H&E; ×20; 14 tiles from the same stomach biopsy slide; 300×300 px each.
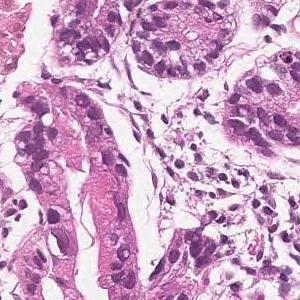
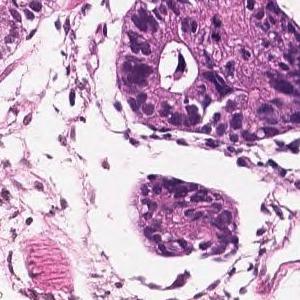
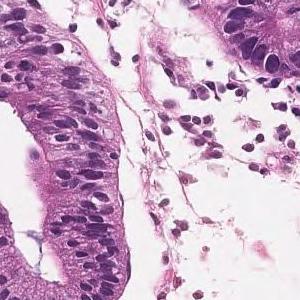
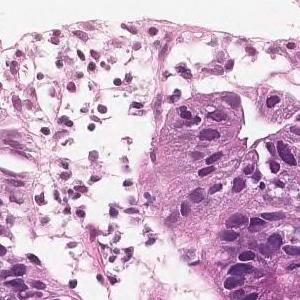
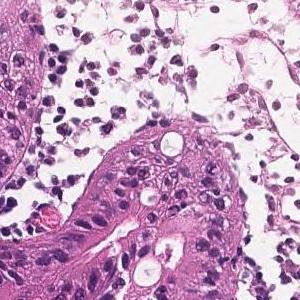
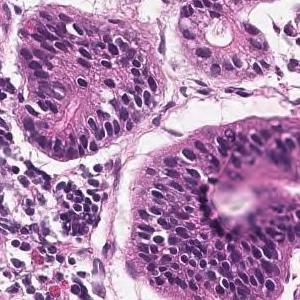
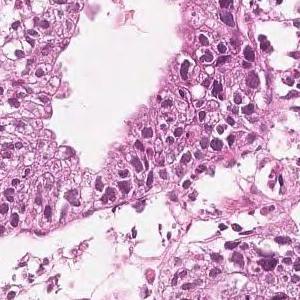
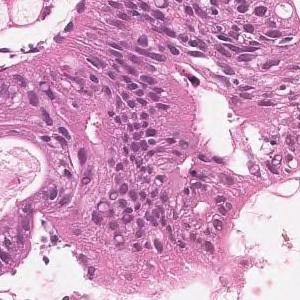
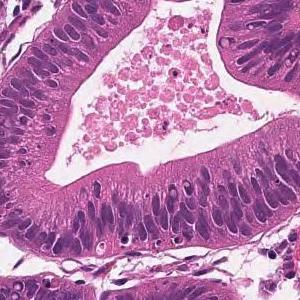
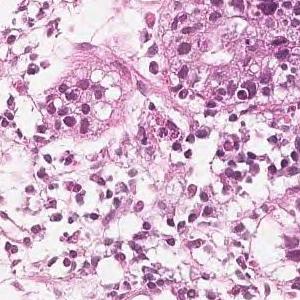
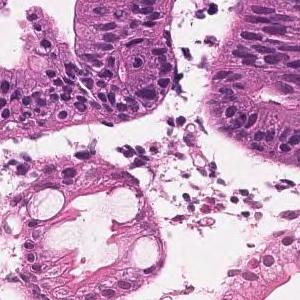
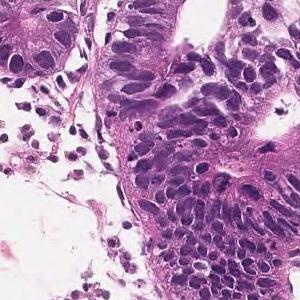
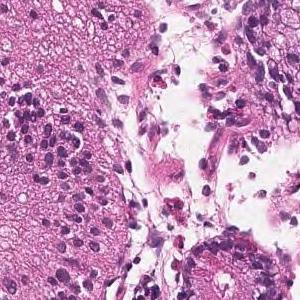
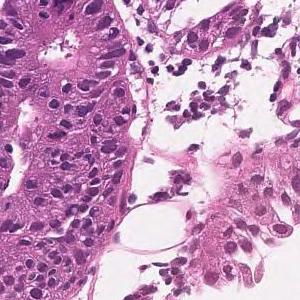
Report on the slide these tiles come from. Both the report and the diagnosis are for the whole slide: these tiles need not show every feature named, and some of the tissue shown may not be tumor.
In the superficial epithelium, tumor tissue that invades by forming medium-sized to small, irregular ducts is observed. Well differentiated tubular adenocarcinoma.
